Hematoxylin and eosin stain · 12 tiles cut from one stomach biopsy slide.
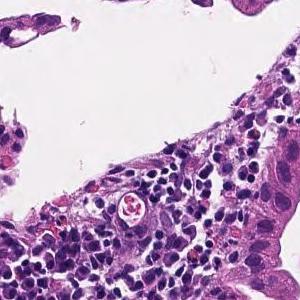
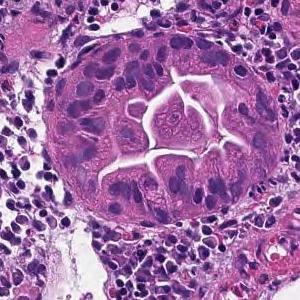
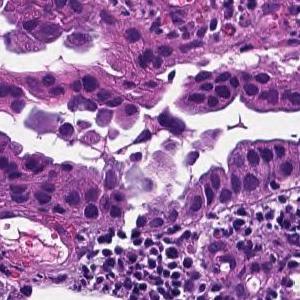
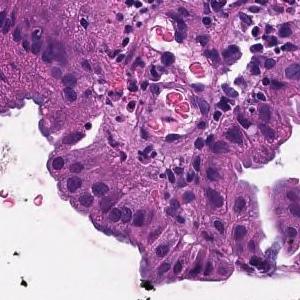
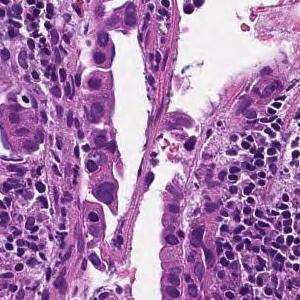
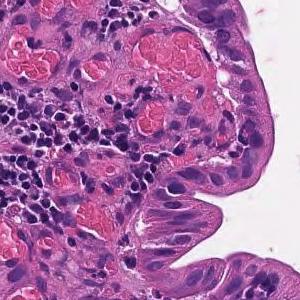
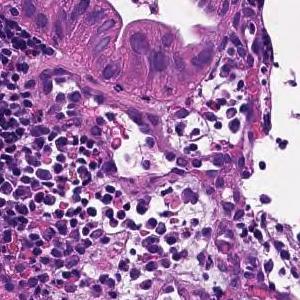
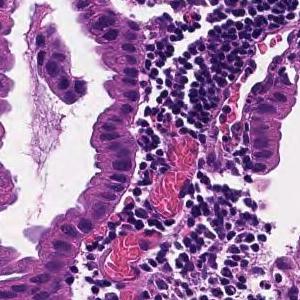
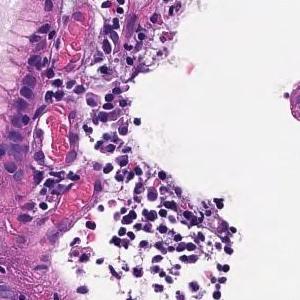
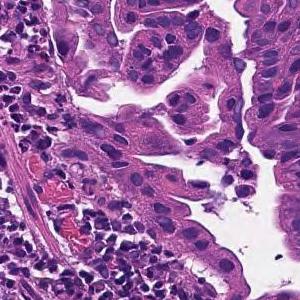
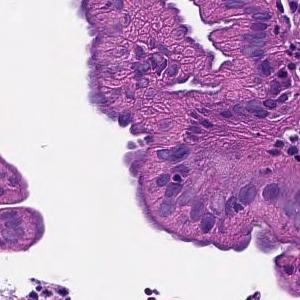
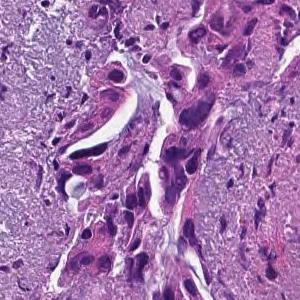
Pathology report for the biopsy slide these tiles were cut from. The findings and the diagnosis refer to the entire slide; these tiles show only part of it, possibly with non-tumor tissue, and may not show every feature named.
On the superficial epithelium, tumor tissue that infiltrates by forming medium-sized papillary or small irregular ducts is observed. Papillary adenocarcinoma
